9 tiles cut from one stomach biopsy slide; hematoxylin and eosin stain; ×20.
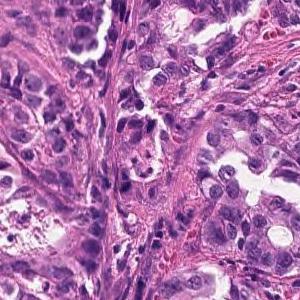
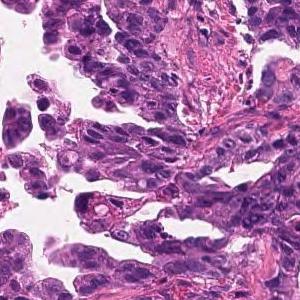
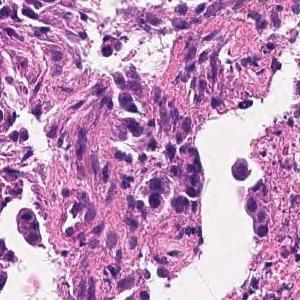
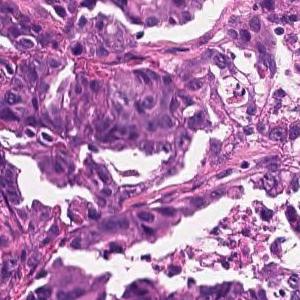
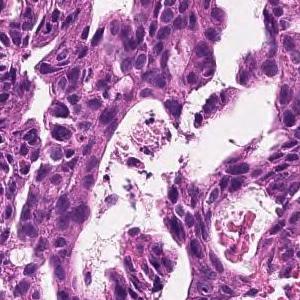
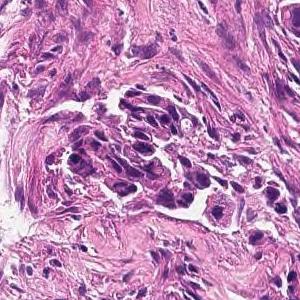
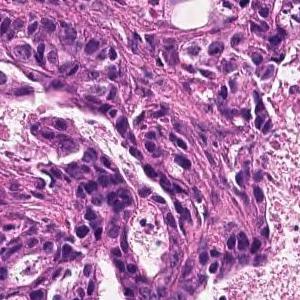
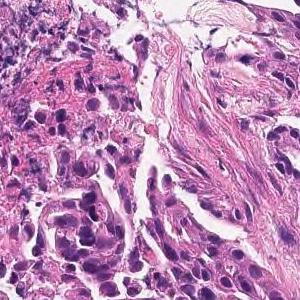
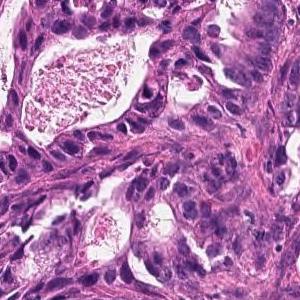
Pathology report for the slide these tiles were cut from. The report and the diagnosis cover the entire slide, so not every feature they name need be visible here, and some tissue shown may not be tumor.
On the superficial epithelium, tumor tissue consisting of images of small to medium-sized and irregular tubules infiltrating with irregular fusion is observed. moderately differentiated tubular adenocarcinoma
